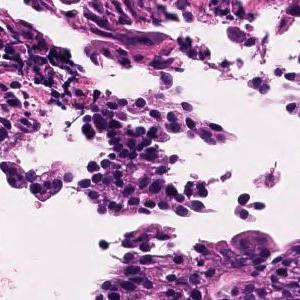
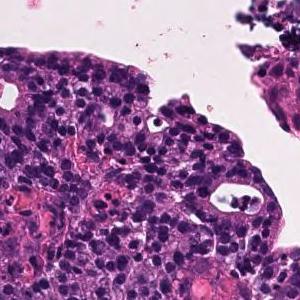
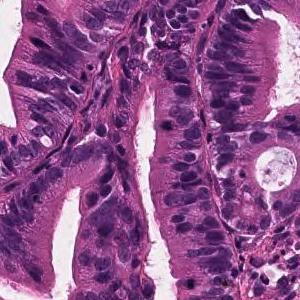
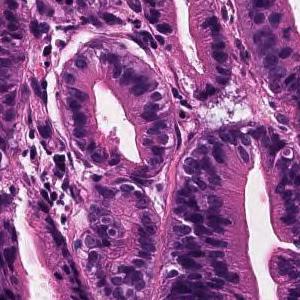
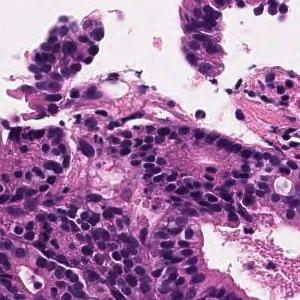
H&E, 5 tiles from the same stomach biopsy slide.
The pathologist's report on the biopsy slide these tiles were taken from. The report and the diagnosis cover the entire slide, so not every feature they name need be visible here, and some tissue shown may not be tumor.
In the superficial epithelium, tumor tissue that invades by forming medium-sized to small, irregular ducts is observed. Moderately differentiated adenocarcinoma.
Tumor subtype: moderately differentiated tubular adenocarcinoma.
